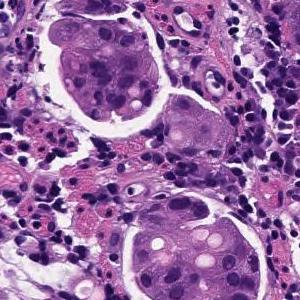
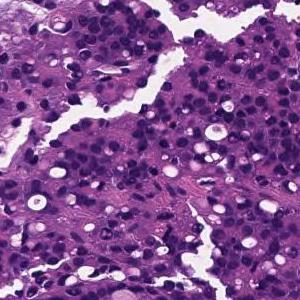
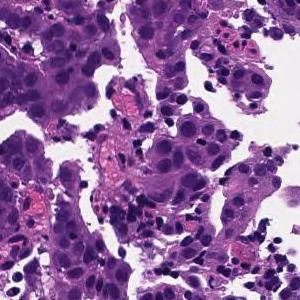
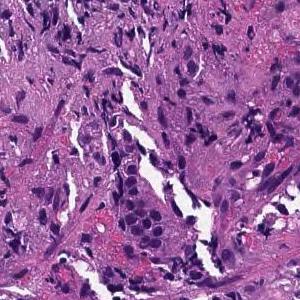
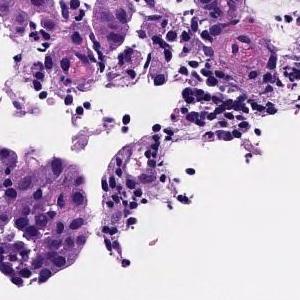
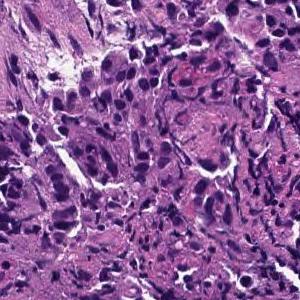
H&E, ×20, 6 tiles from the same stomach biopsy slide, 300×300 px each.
Diagnostic report for the slide these tiles come from. What the report and the diagnosis say applies to the whole slide; these tiles may miss some of the features named and may include tissue that is not tumor.
The superficial epithelium shows a large sheet-like shape, and some tumor tissue infiltrates with small irregular ducts. Poorly differentiated adenocarcinoma, solid-type
Subtype: Poorly differentiated adenocarcinoma, solid type, a category of the Japanese Classification of Gastric Carcinoma; in the WHO 2019 classification it is tubular adenocarcinoma, poorly differentiated.
